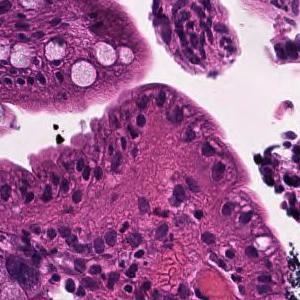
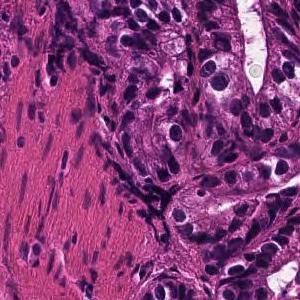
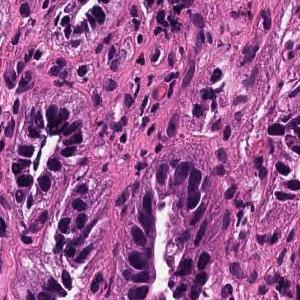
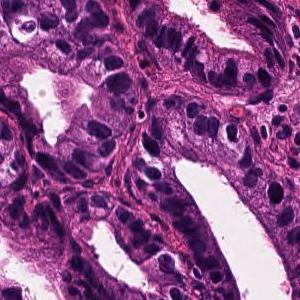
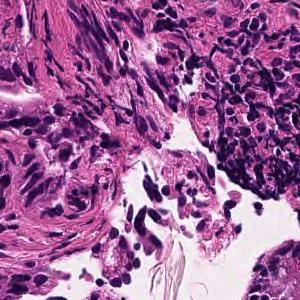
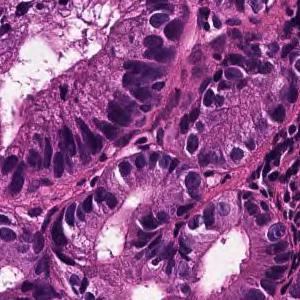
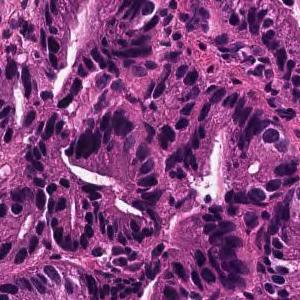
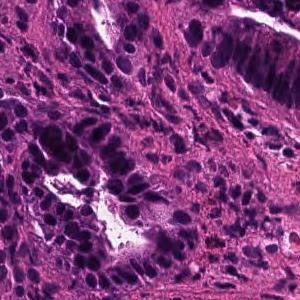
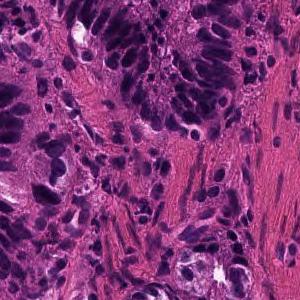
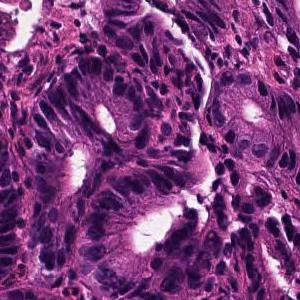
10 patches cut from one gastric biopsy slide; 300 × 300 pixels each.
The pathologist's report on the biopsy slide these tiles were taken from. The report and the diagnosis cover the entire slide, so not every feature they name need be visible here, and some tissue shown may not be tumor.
In the superficial epithelium, tumor tissue that invades by forming medium-sized to small, irregular ducts is observed. Well differentiated tubular adenocarcinoma.
